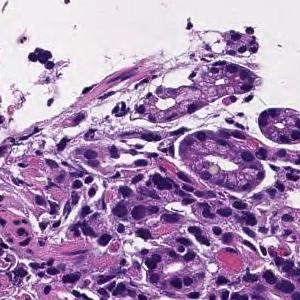
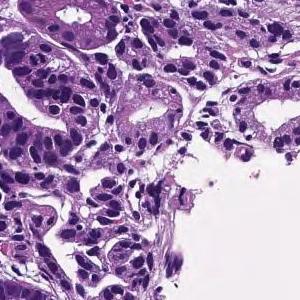
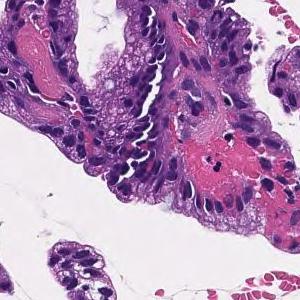
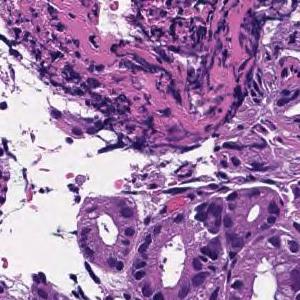
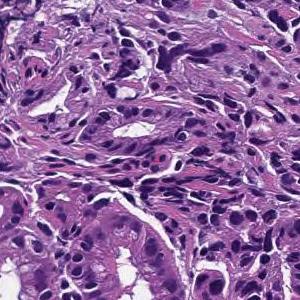
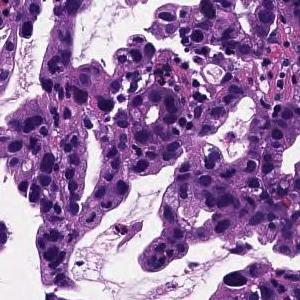
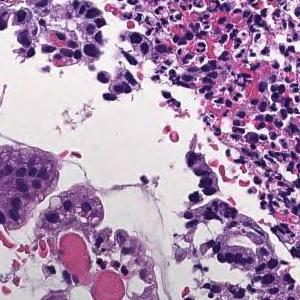
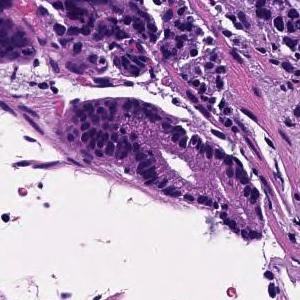
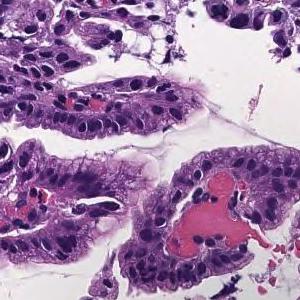
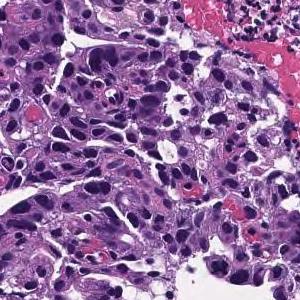
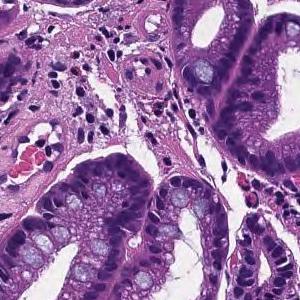
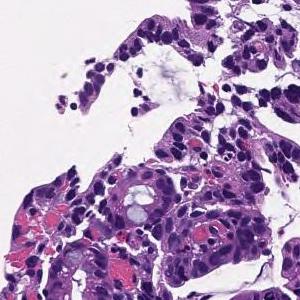
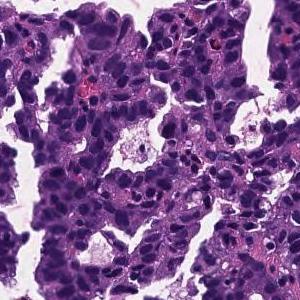
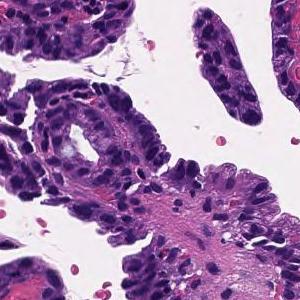
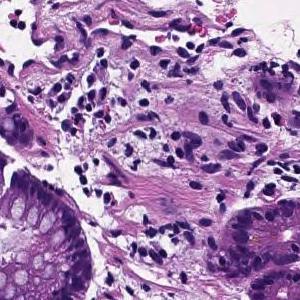
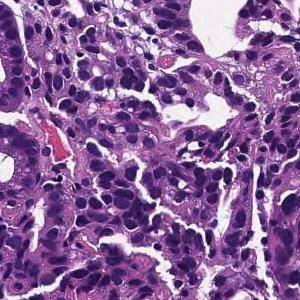
16 patches cut from one gastric biopsy slide · 300 × 300 pixels each.
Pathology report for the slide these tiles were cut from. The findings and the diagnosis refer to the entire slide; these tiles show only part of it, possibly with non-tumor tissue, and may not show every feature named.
Tumor cells are large, highly columnar, large club-shaped nuclei, and are associated with chromatin aggregation. Papillary adenocarcinoma.
